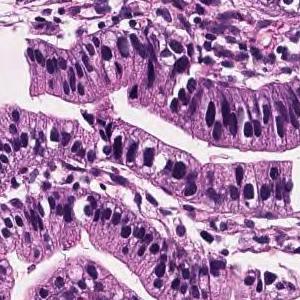
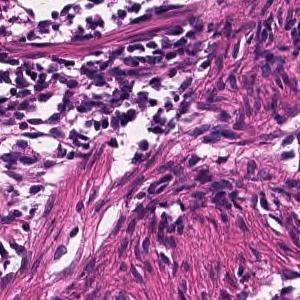
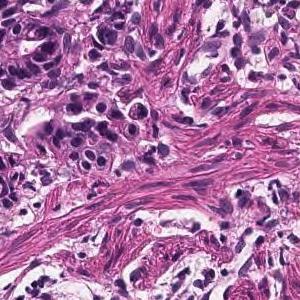
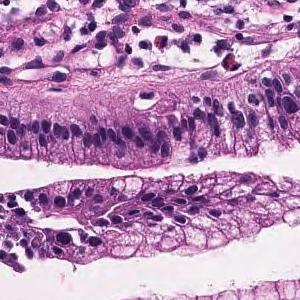
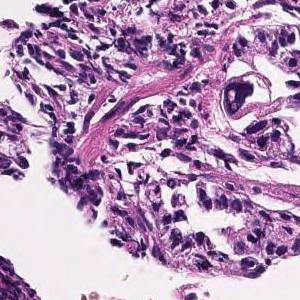
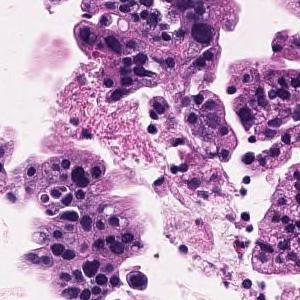
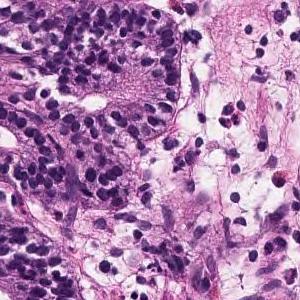
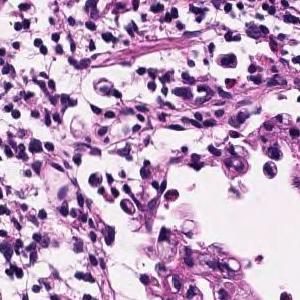
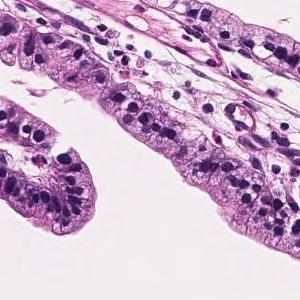
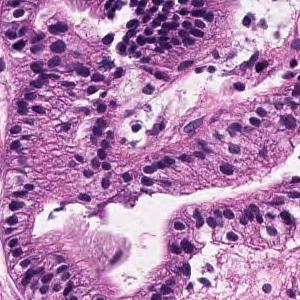
H&E stain, 10 tiles cut from one stomach biopsy slide, 300 × 300 pixels each.
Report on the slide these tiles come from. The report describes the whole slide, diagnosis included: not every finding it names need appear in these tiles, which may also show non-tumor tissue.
Tumor tissue consisting of large papillary structures or irregular glandular ducts partially fused and infiltrated is observed in the superficial epithelium. Well to moderately differentiated tubular adenocarcinoma.
Labeled in the dataset as moderately differentiated tubular adenocarcinoma.
